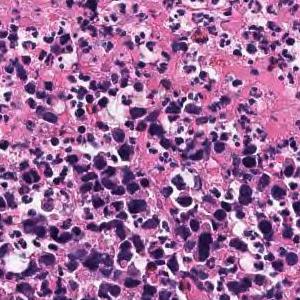
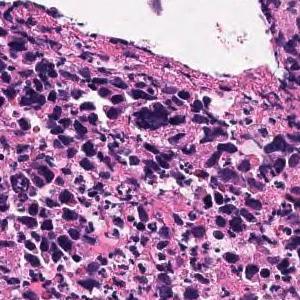
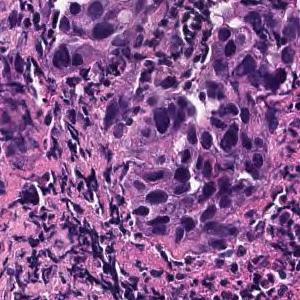
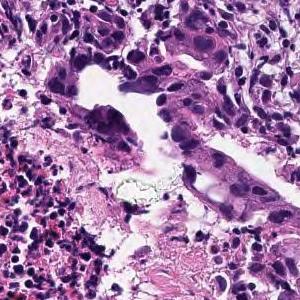
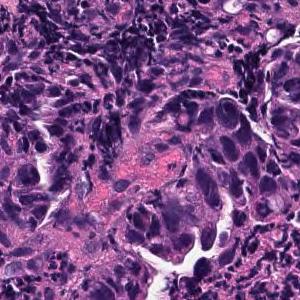
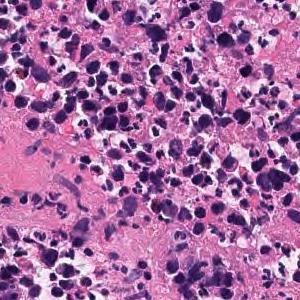
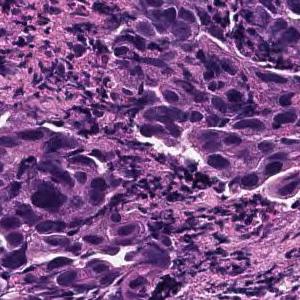
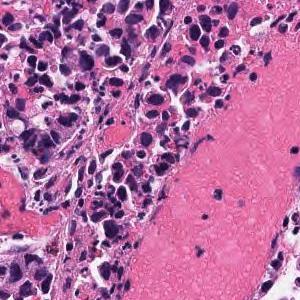
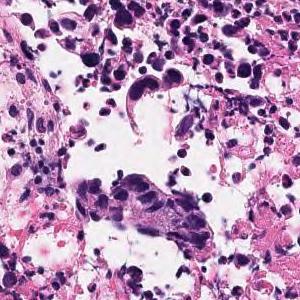
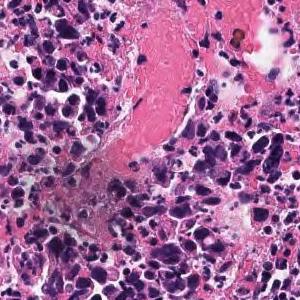
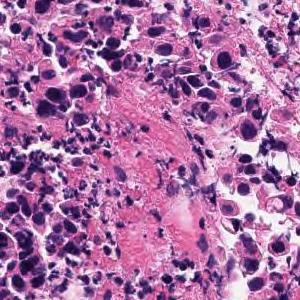
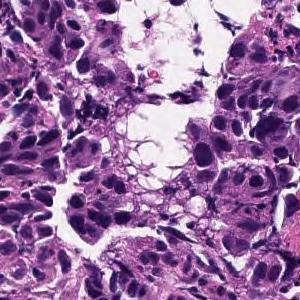
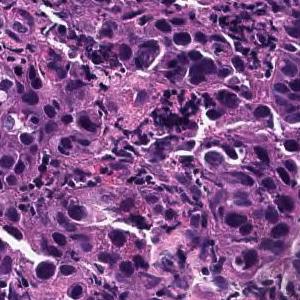
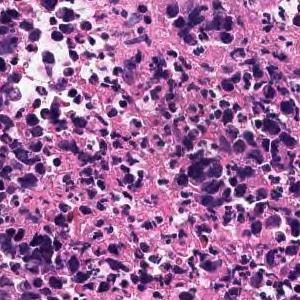
14 tiles from the same stomach biopsy slide · 300 × 300 pixels each · scanned at ×20.
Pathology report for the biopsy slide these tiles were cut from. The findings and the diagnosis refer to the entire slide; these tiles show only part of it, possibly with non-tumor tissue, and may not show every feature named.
In the superficial epithelium, tumor tissue that invades by forming medium-sized to small, irregular ducts is observed. Tumor cells are columnar or cuboidal in shape. Moderately differentiated adenocarcinoma.
Tumor subtype: moderately differentiated tubular adenocarcinoma.
